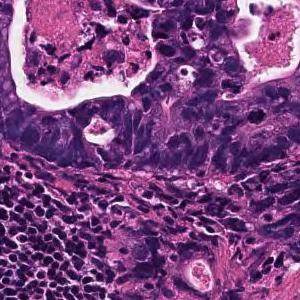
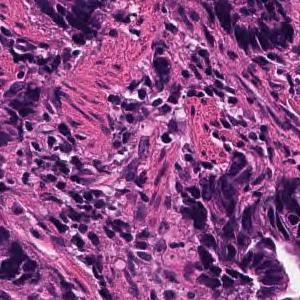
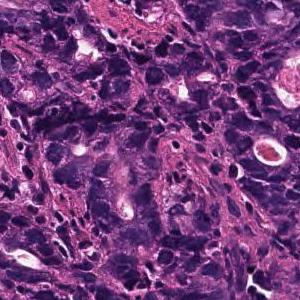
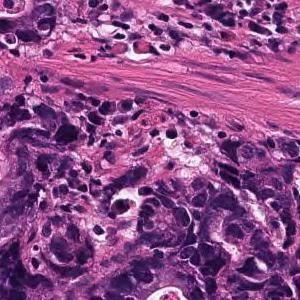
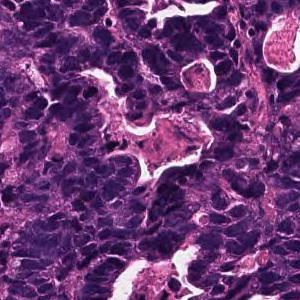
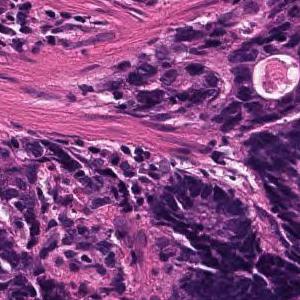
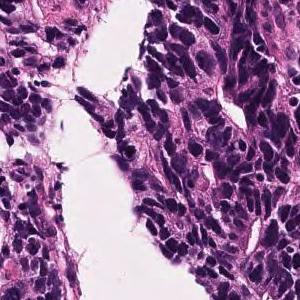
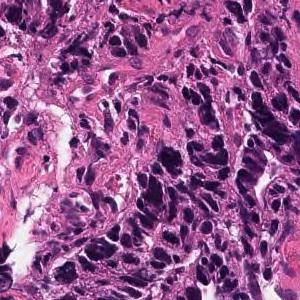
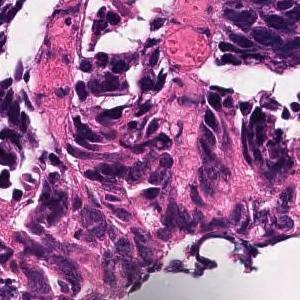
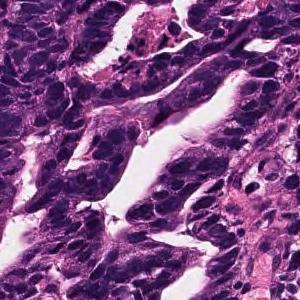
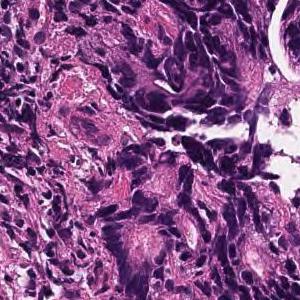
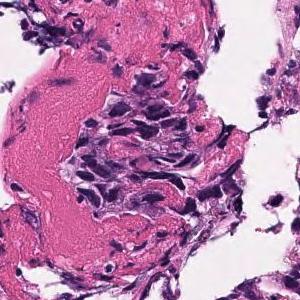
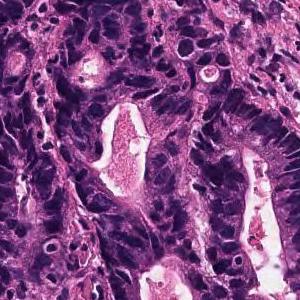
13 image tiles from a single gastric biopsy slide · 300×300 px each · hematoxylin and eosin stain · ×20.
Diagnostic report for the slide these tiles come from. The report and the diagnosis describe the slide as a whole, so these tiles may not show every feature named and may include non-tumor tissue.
Large and small irregular small glandular ducts forming and infiltrating. moderately differentiated tubular adenocarcinoma
